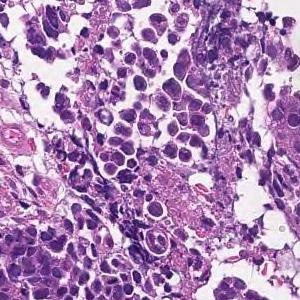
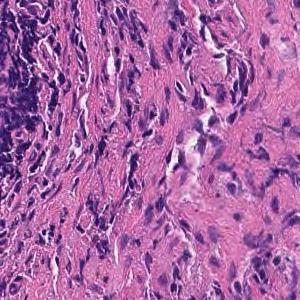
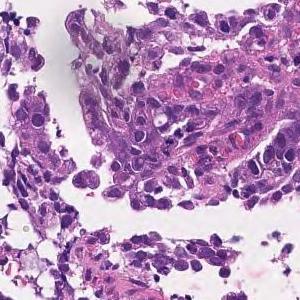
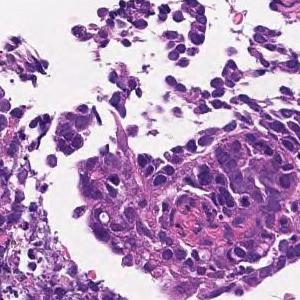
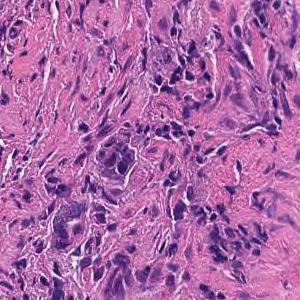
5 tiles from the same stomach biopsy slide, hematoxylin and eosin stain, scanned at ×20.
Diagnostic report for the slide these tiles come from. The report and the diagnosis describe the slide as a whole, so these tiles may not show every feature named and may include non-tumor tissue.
Tumor tissue consisting of cord-like or small, irregular glandular ducts fused and infiltrated is observed in the superficial epithelium. Poorly differentiated adenocarcinoma, non-solid type
The term "non-solid type" comes from the Japanese Classification of Gastric Carcinoma.
